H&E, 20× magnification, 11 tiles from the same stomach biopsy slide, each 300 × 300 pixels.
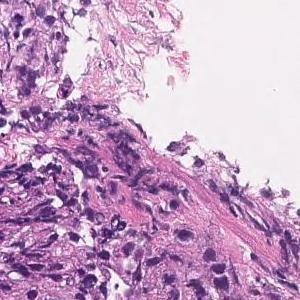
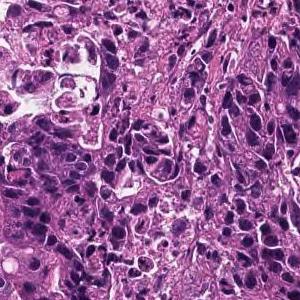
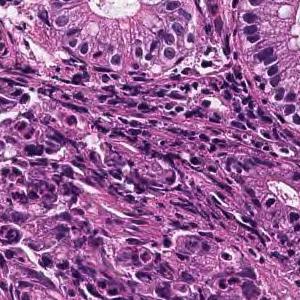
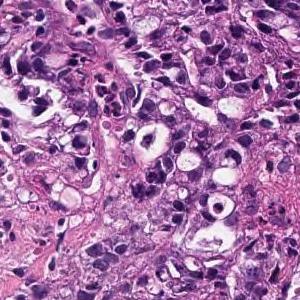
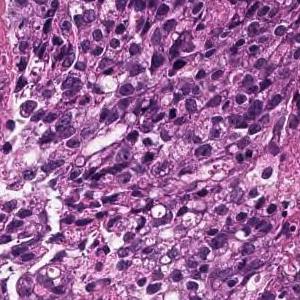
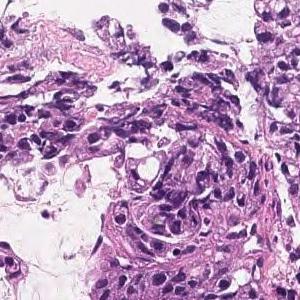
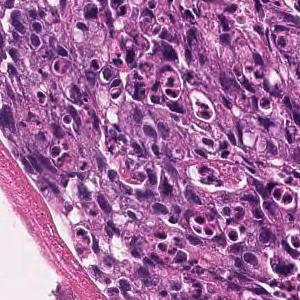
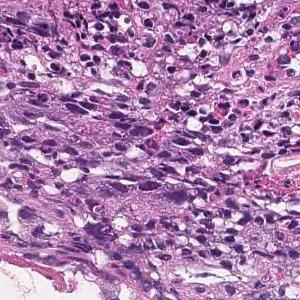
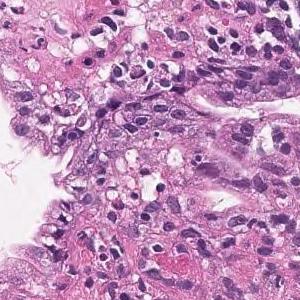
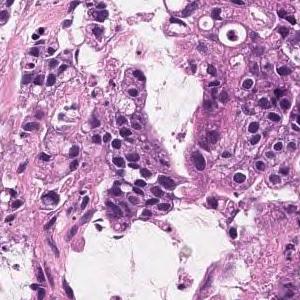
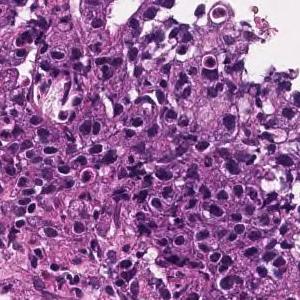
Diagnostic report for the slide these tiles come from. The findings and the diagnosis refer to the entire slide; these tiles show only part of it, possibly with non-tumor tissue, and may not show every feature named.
Medium to small, irregular glandular ducts are formed in the superficial epithelium, and in some cases, the glandular ducts are fused to show solid alveolar lesions and infiltrating tumor tissue is observed. Moderately to poorly differentiated adenocarcinoma.
